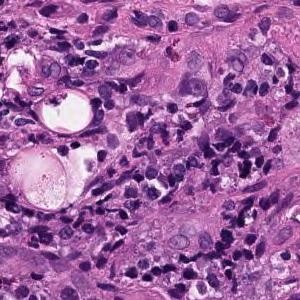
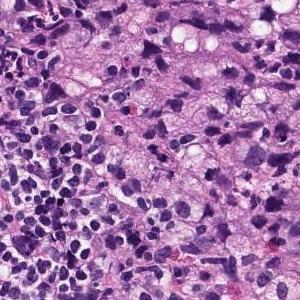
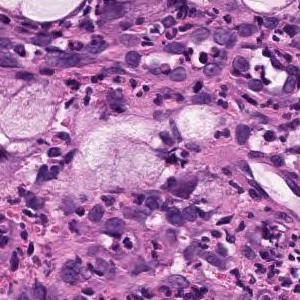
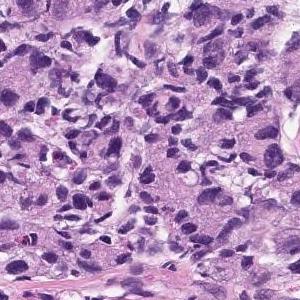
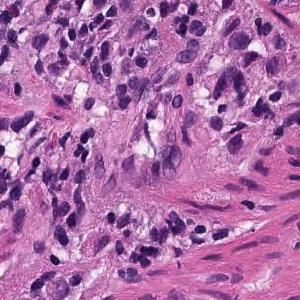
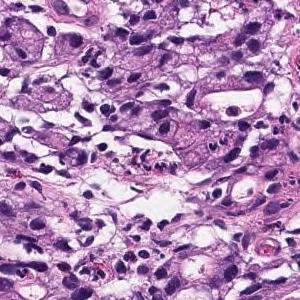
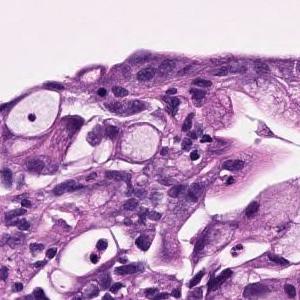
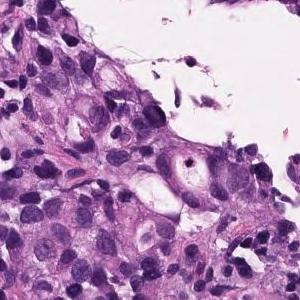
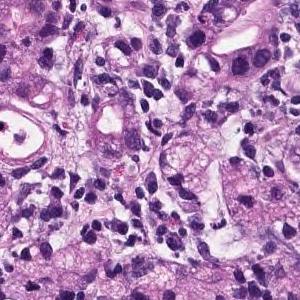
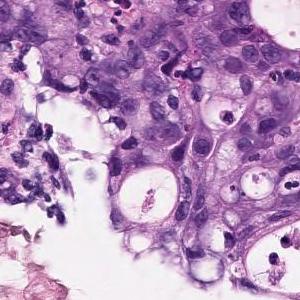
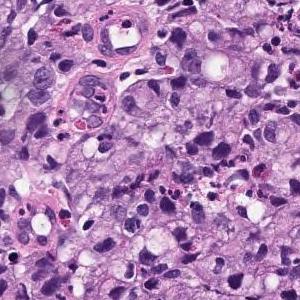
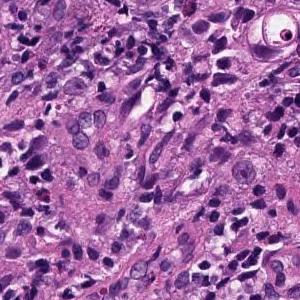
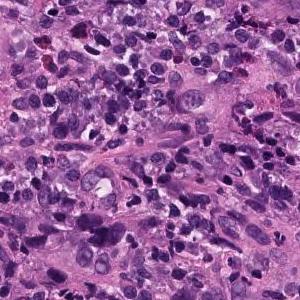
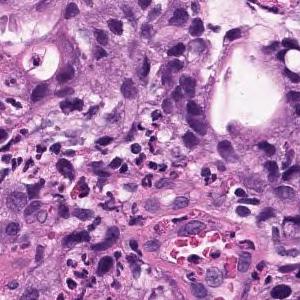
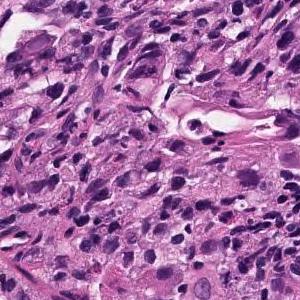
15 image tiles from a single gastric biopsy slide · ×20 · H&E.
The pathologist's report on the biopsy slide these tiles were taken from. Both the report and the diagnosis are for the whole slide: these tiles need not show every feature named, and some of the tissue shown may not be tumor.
Atypical epithelium forms irregularly fused gland ducts and proliferates. Poorly differentiated adenocarcinoma.
Histologic type: Poorly differentiated adenocarcinoma, non-solid type.
"Non-solid type" is a category of the Japanese Classification of Gastric Carcinoma.
